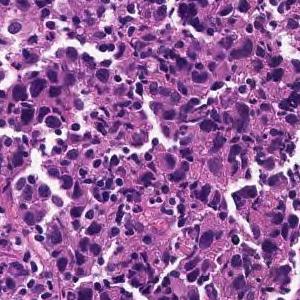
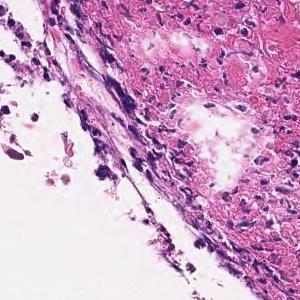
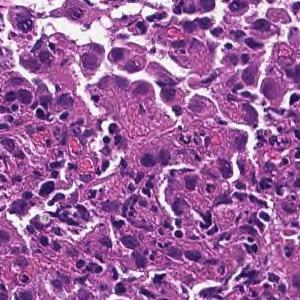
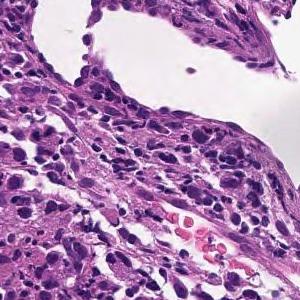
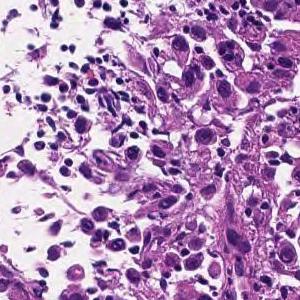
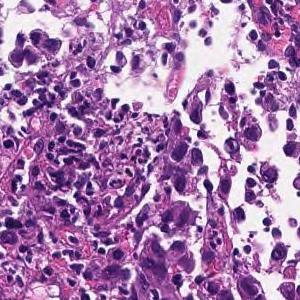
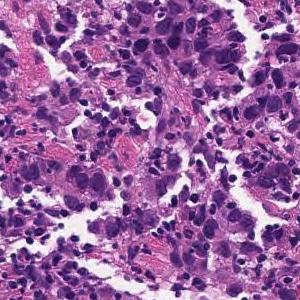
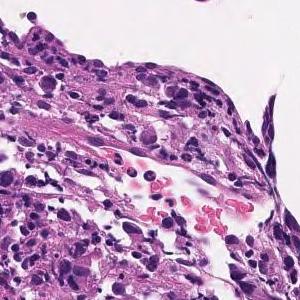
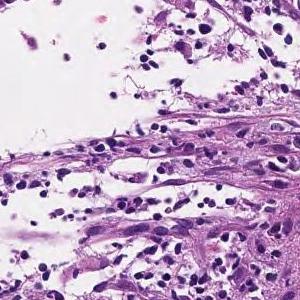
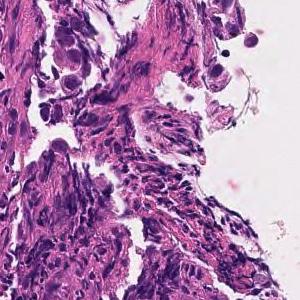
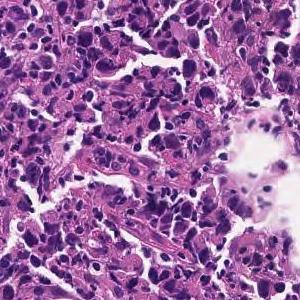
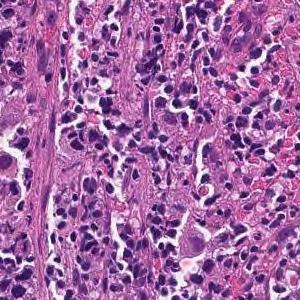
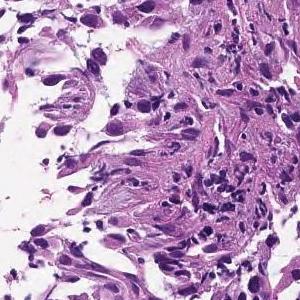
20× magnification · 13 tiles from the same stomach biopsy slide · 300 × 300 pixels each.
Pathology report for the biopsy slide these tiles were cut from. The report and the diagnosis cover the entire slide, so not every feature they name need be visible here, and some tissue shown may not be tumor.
The superficial epithelium shows a large sheet-like shape, and some tumor tissue infiltrates with small irregular ducts. Poorly differentiated adenocarcinoma, solid-type (poorly differentiated adenocarcinoma, solid type)
Classified as poorly differentiated adenocarcinoma, solid type (Japanese Classification of Gastric Carcinoma). The WHO 2019 equivalent is tubular adenocarcinoma, poorly differentiated.
